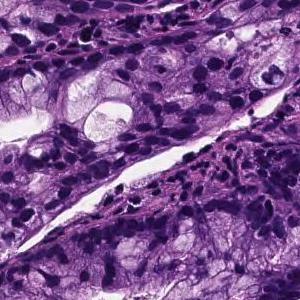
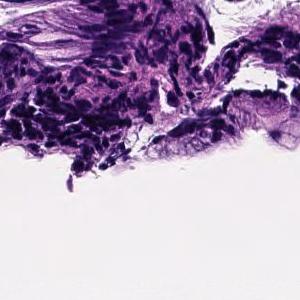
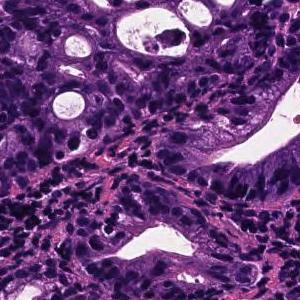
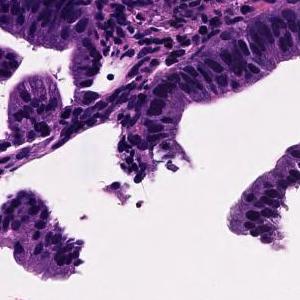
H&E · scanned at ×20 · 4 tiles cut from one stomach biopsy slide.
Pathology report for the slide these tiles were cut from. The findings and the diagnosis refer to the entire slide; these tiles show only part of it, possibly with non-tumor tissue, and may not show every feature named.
On the superficial epithelium, tumor tissue that infiltrates by forming medium-sized papillary or small irregular ducts is observed. Papillary adenocarcinoma
